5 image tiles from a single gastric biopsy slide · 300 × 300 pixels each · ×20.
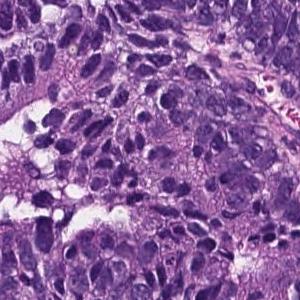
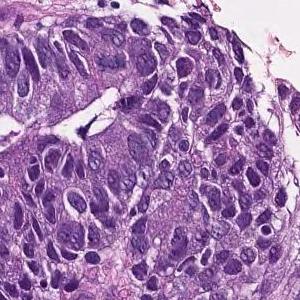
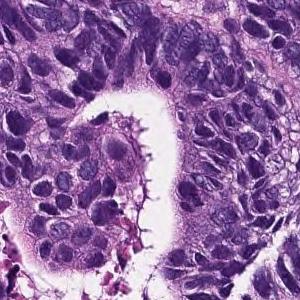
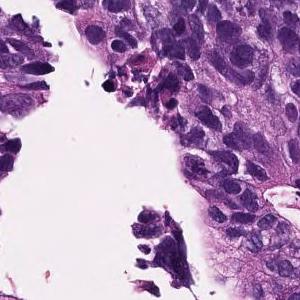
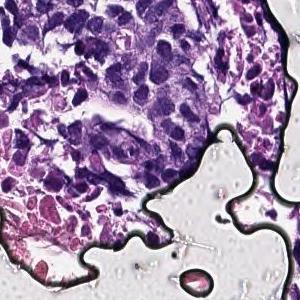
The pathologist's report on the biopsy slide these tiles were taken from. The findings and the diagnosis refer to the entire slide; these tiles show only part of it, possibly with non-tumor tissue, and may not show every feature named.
In the superficial epithelium, tumor tissue that invades by forming medium-sized to small, irregular ducts is observed. moderately differentiated tubular adenocarcinoma.
